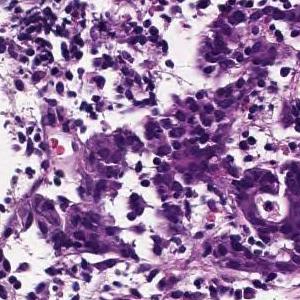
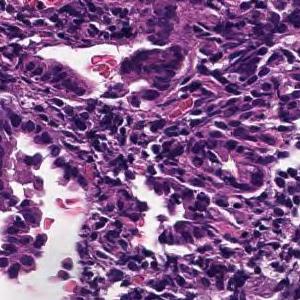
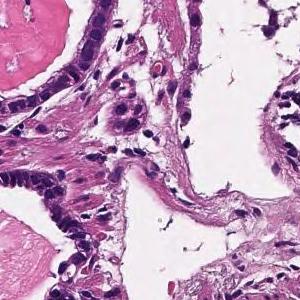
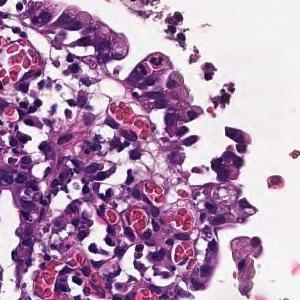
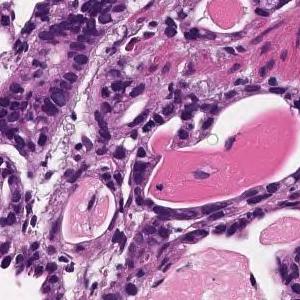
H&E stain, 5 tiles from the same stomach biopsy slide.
Pathology report for the biopsy slide these tiles were cut from. The report and the diagnosis describe the slide as a whole, so these tiles may not show every feature named and may include non-tumor tissue.
Tumor tissue consisting of medium-sized, cord-like or irregular glandular infiltration is observed in the superficial epithelium. Poorly differentiated adenocarcinoma, non-solid type or moderately differentiated tubular adenocarcinoma
Subtype: Moderately to poorly differentiated adenocarcinoma.
"Non-solid type" is a category of the Japanese Classification of Gastric Carcinoma.
